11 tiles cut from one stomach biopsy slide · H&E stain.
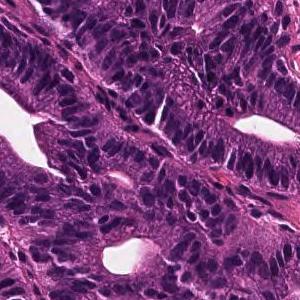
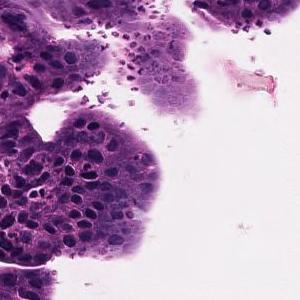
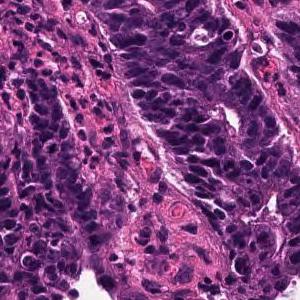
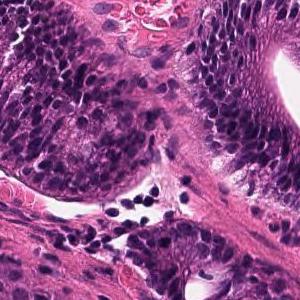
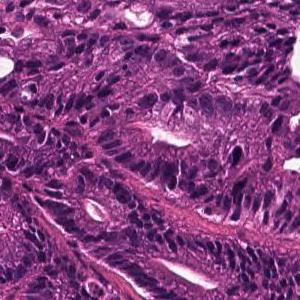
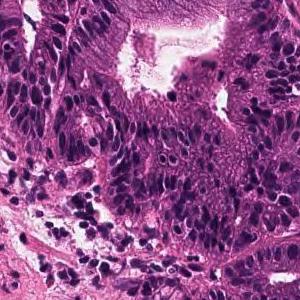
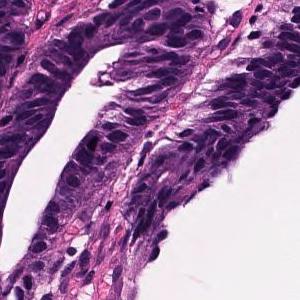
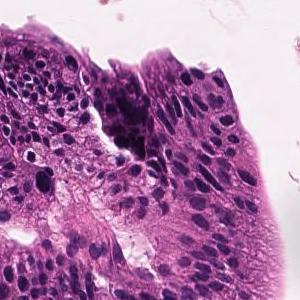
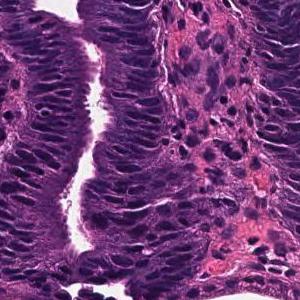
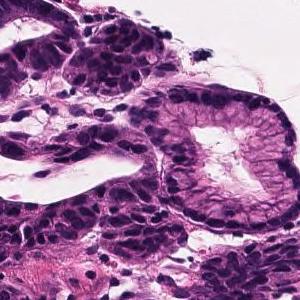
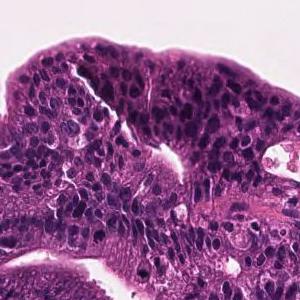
Pathology report for the slide these tiles were cut from. The report describes the whole slide, diagnosis included: not every finding it names need appear in these tiles, which may also show non-tumor tissue.
Tumor tissue that remains within the superficial epithelium and is infiltrated by large papillary or irregular ducts that fuse with each other is observed. Well differentiated tubular adenocarcinoma
